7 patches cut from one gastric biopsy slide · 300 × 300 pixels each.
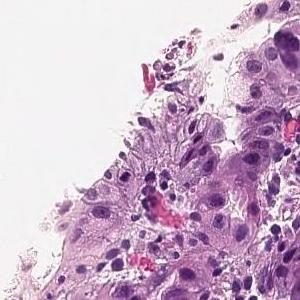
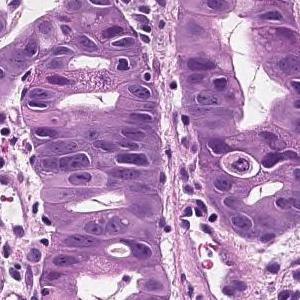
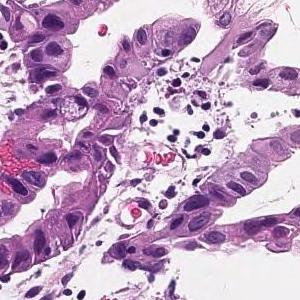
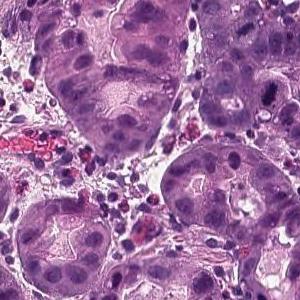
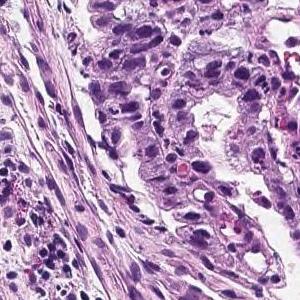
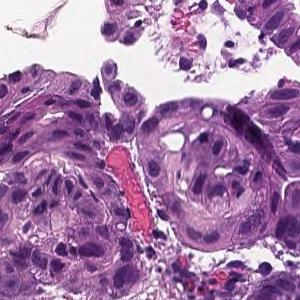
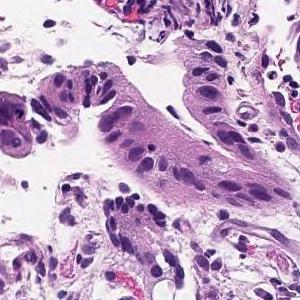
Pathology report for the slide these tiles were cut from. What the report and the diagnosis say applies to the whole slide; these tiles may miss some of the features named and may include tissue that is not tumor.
On the superficial epithelium, tumor tissue that infiltrates by forming medium-sized papillary or small irregular ducts is observed. Papillary adenocarcinoma
